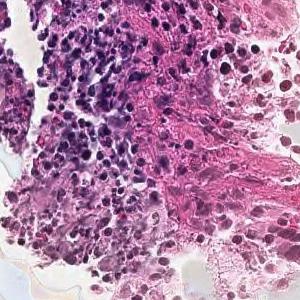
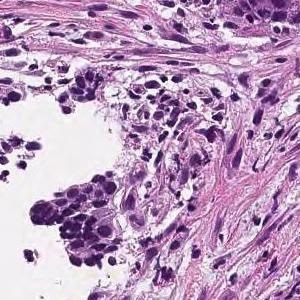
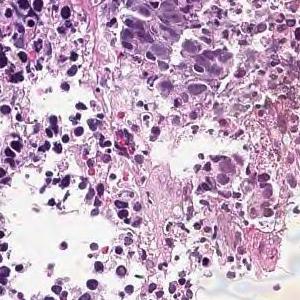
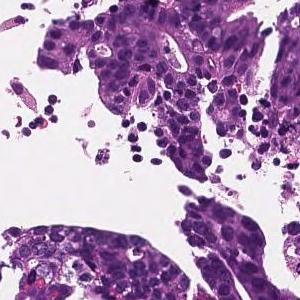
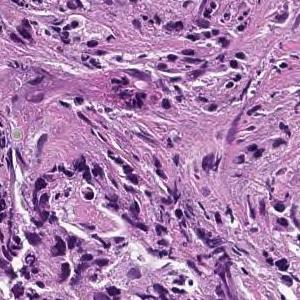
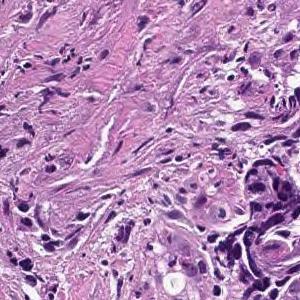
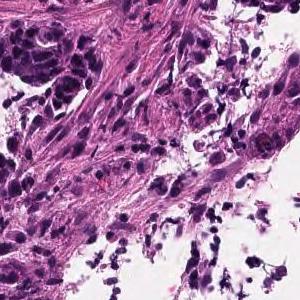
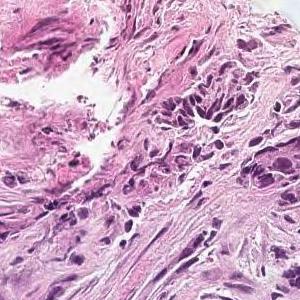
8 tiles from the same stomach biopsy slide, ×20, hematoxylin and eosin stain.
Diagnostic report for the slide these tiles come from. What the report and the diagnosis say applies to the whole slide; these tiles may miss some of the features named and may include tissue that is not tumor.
In the superficial epithelium, tumor tissue that invades by forming medium-sized to small, irregular ducts is observed. moderately differentiated tubular adenocarcinoma.
